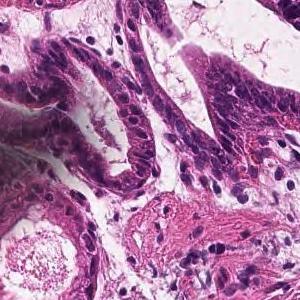
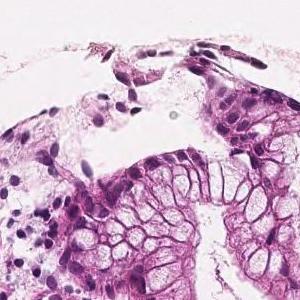
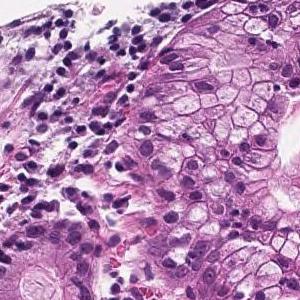
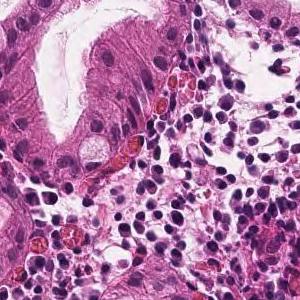
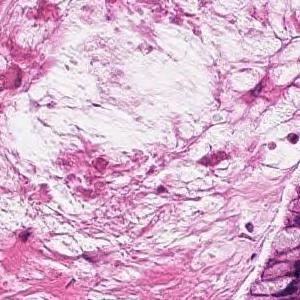
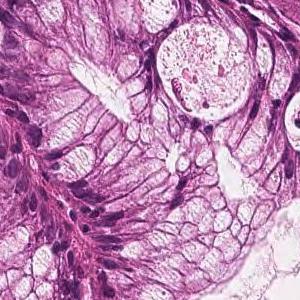
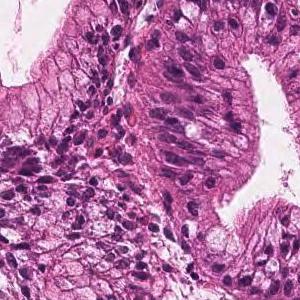
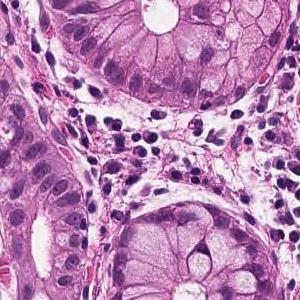
8 tiles cut from one stomach biopsy slide; 300×300 px each.
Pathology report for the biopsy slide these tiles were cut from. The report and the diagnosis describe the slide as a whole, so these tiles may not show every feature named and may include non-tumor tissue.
In the superficial epithelium, tumor tissue that invades by forming medium-sized to small, irregular ducts is observed. Well differentiated tubular adenocarcinoma.
